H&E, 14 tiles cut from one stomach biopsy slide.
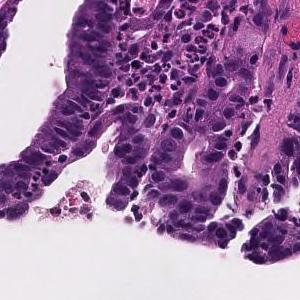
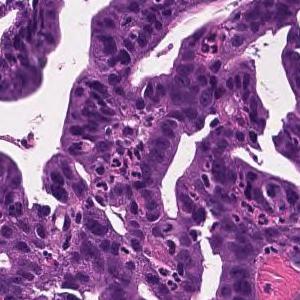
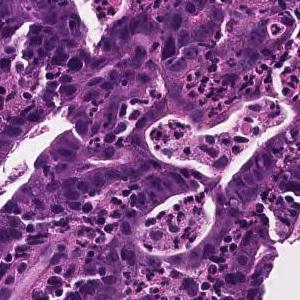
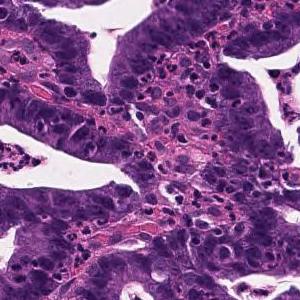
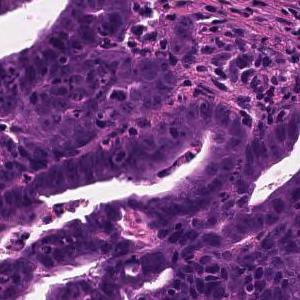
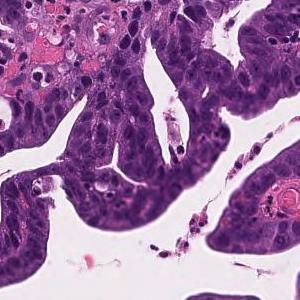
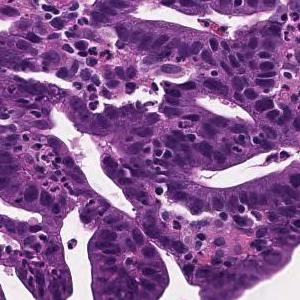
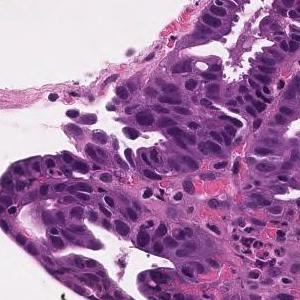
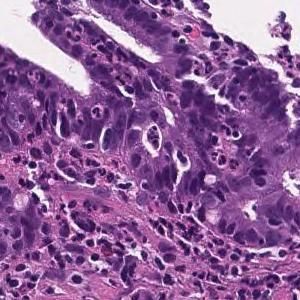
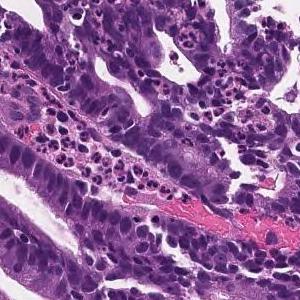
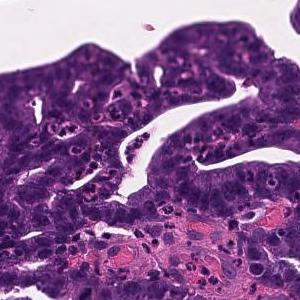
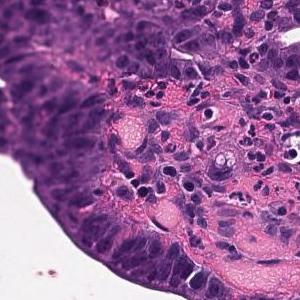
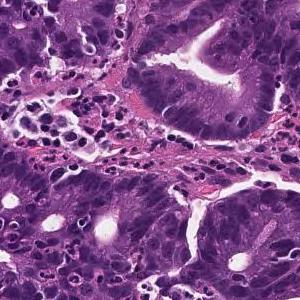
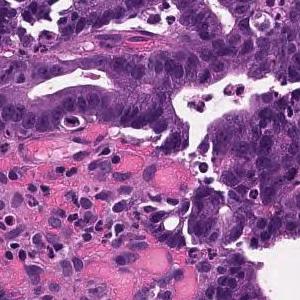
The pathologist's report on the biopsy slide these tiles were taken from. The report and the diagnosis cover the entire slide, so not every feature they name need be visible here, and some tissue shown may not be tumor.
Tumor cells are large, highly columnar, large club-shaped nuclei, and are associated with chromatin aggregation. Papillary adenocarcinoma.
